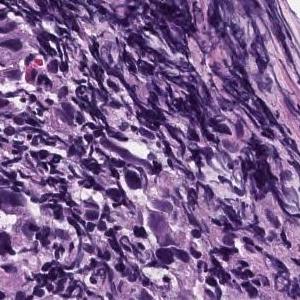
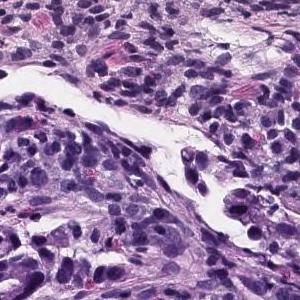
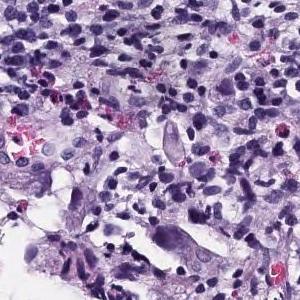
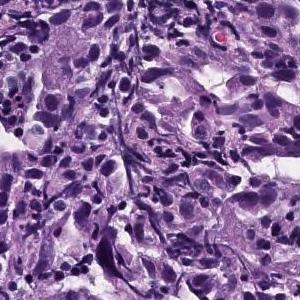
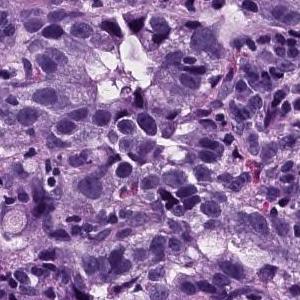
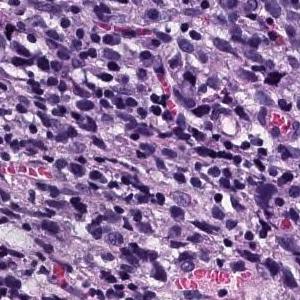
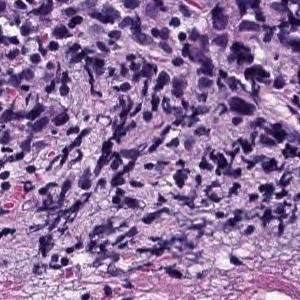
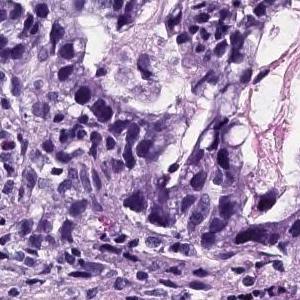
Hematoxylin and eosin stain, 8 image tiles from a single gastric biopsy slide, 300 × 300 pixels each.
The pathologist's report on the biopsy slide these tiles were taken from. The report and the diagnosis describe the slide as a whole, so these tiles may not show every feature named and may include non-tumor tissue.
Atypical epithelial cells infiltrating and proliferating while forming solid or cord-like fused glandular cavities of different sizes is observed. moderately differentiated tubular adenocarcinoma, poorly differentiated adenocarcinoma.
Tumor subtype: moderately to poorly differentiated adenocarcinoma.
